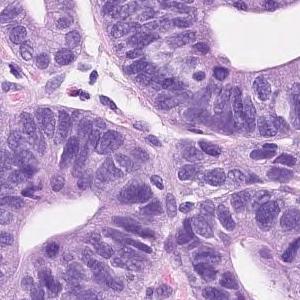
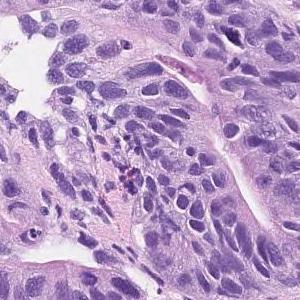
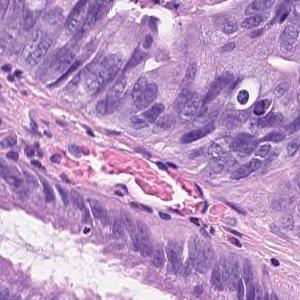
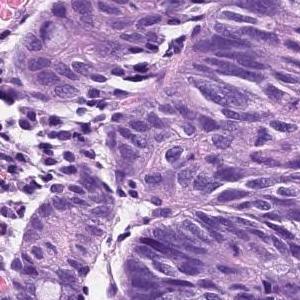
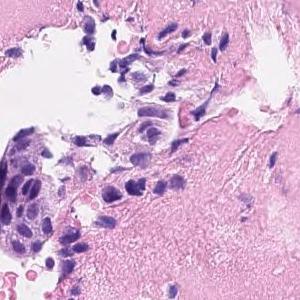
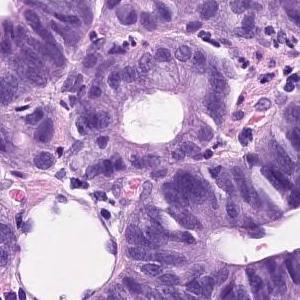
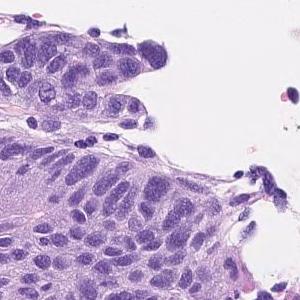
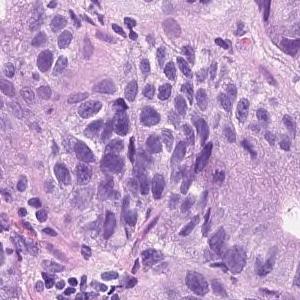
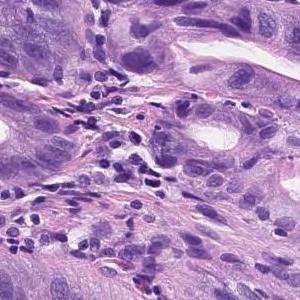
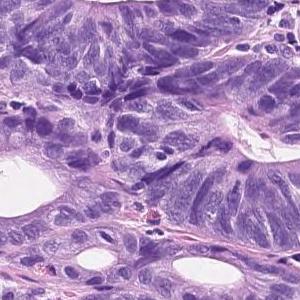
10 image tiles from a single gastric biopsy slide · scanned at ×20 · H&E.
Diagnostic report for the slide these tiles come from. The report describes the whole slide, diagnosis included: not every finding it names need appear in these tiles, which may also show non-tumor tissue.
Tumor tissue consisting of medium-sized and irregular ducts is observed infiltrating in the superficial epithelium. Tumor cells are highly columnar, with nuclei aligned basolaterally and polarized. Well differentiated tubular adenocarcinoma.
